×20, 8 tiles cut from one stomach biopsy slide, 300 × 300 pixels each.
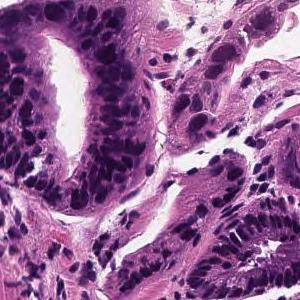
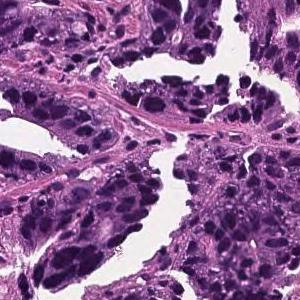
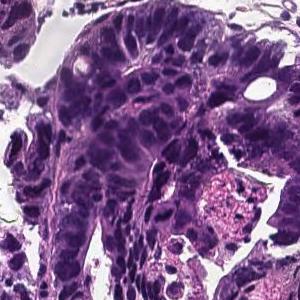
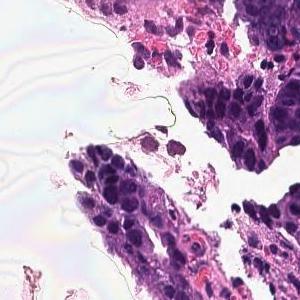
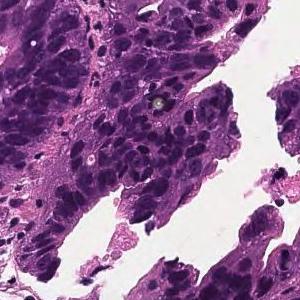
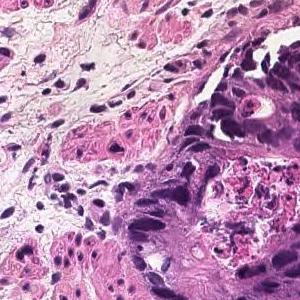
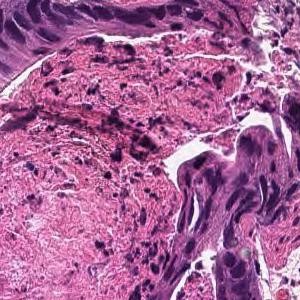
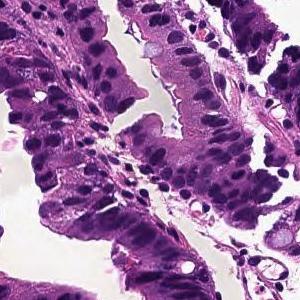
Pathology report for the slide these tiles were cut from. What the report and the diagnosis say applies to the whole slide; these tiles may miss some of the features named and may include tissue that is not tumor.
In the superficial epithelium, tumor tissue that invades by forming medium-sized to small, irregular ducts is observed. moderately differentiated tubular adenocarcinoma.
